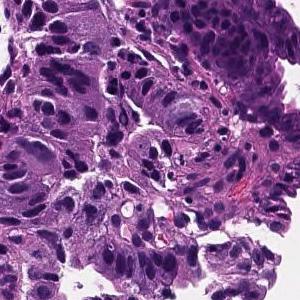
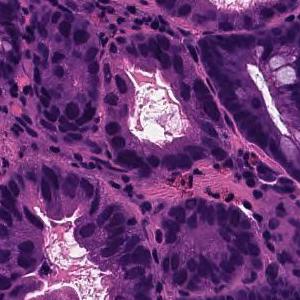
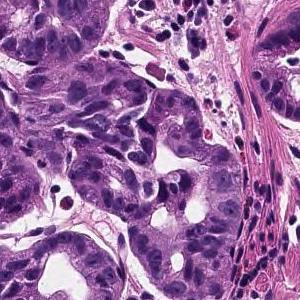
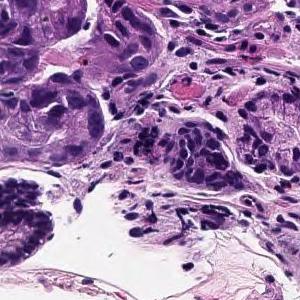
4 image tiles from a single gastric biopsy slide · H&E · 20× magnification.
Diagnostic report for the slide these tiles come from. The report and the diagnosis cover the entire slide, so not every feature they name need be visible here, and some tissue shown may not be tumor.
On the superficial epithelium, tumor tissue consisting of large irregular glandular ducts partially fused and infiltrated is observed. Well to moderately differentiated tubular adenocarcinoma (well differentiated tubular adenocarcinoma, moderately differentiated tubular adenocarcinoma)
Tumor subtype: well to moderately differentiated tubular adenocarcinoma.
